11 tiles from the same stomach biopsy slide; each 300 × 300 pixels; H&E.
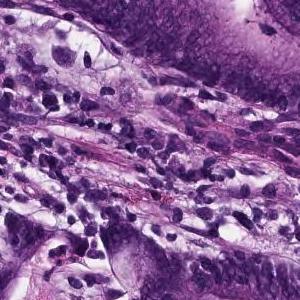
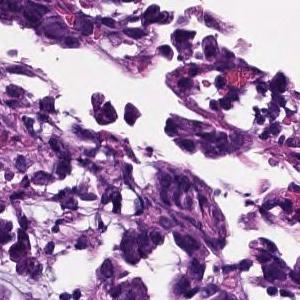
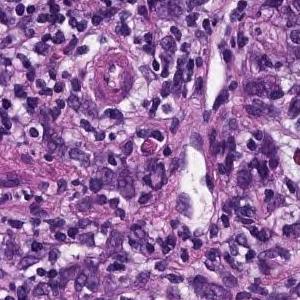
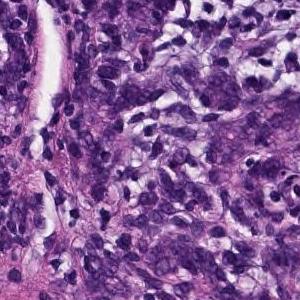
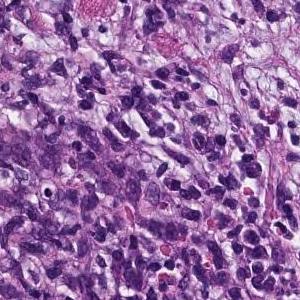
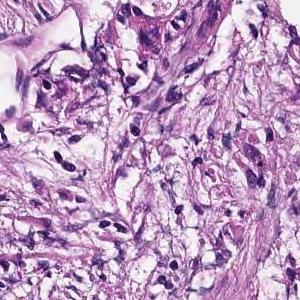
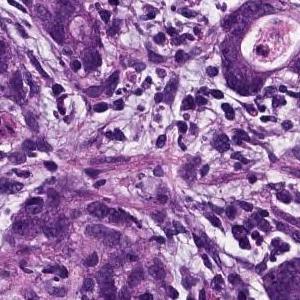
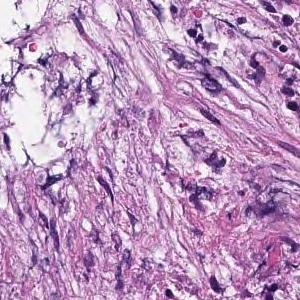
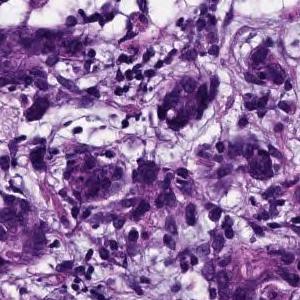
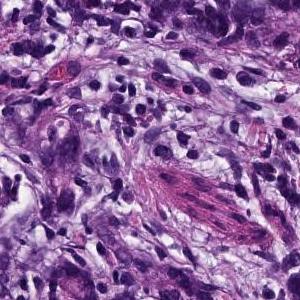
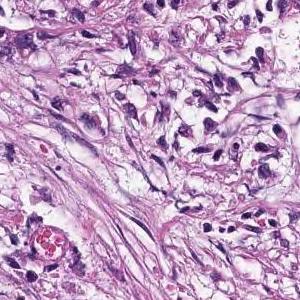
Diagnostic report for the slide these tiles come from. The findings and the diagnosis refer to the entire slide; these tiles show only part of it, possibly with non-tumor tissue, and may not show every feature named.
Tumor tissue consisting of medium-sized, cord-like or irregular glandular infiltration is observed in the superficial epithelium. Poorly differentiated adenocarcinoma, non-solid type or moderately differentiated tubular adenocarcinoma
Histological subtype: Moderately to poorly differentiated adenocarcinoma.
"Non-solid type" is a category of the Japanese Classification of Gastric Carcinoma.
